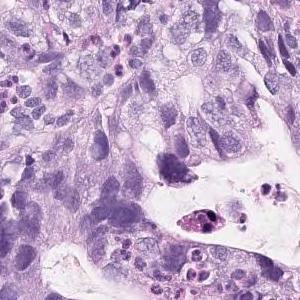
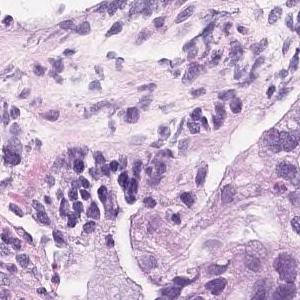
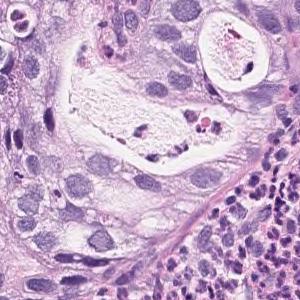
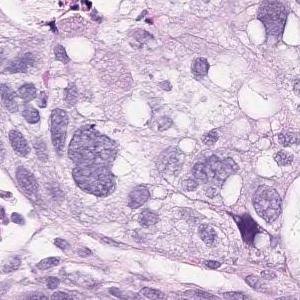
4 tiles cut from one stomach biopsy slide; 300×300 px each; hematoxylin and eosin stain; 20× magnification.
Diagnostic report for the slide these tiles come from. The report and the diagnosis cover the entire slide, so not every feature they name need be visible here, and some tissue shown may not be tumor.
On the superficial epithelium, tumor tissue consisting of large, irregular glandular ducts partially fused and infiltrated is observed. Well to moderately differentiated tubular adenocarcinoma (well differentiated tubular adenocarcinoma, moderately differentiated tubular adenocarcinoma)
Subtype: Well to moderately differentiated tubular adenocarcinoma.
